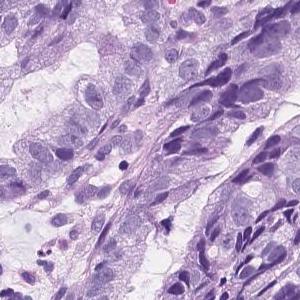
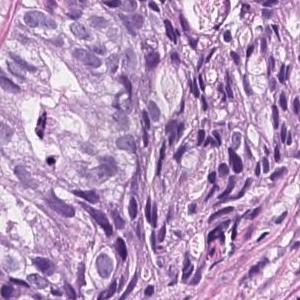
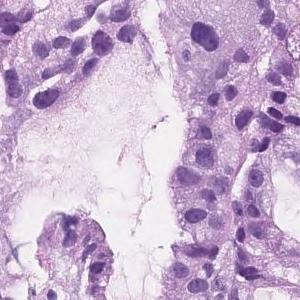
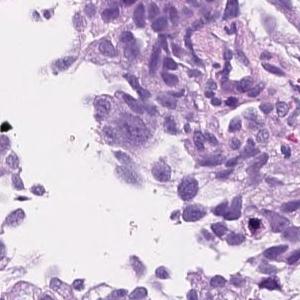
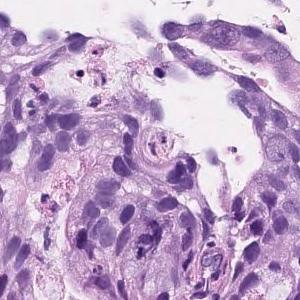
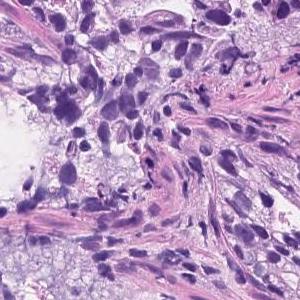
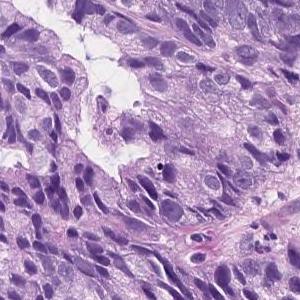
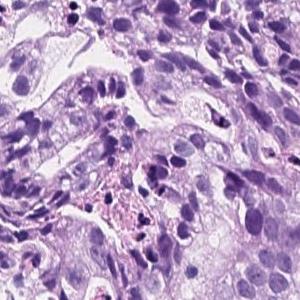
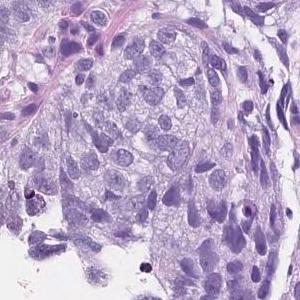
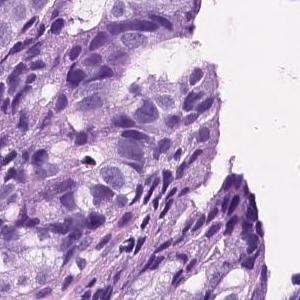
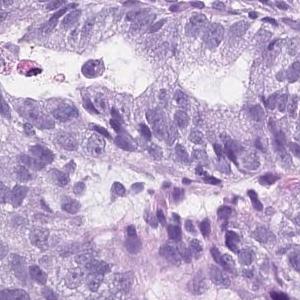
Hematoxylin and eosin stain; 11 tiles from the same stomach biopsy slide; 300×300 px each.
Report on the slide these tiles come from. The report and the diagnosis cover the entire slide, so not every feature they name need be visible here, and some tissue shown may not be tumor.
On the superficial epithelium, tumor tissue consisting of an image of large, irregular glandular ducts partially fused and infiltrated is observed. Well to moderately differentiated tubular adenocarcinoma
